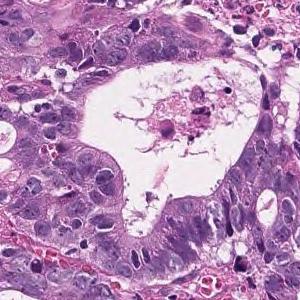
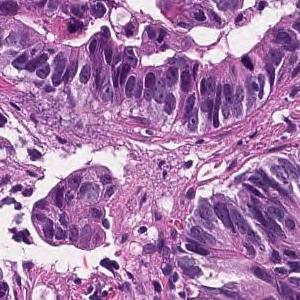
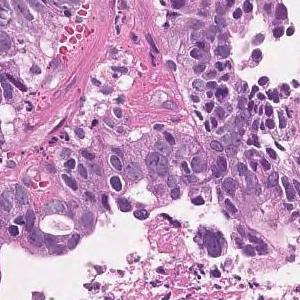
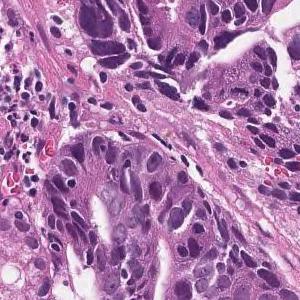
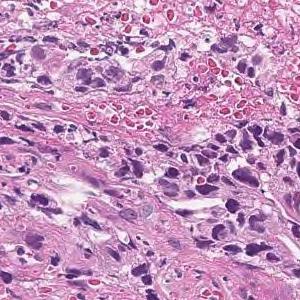
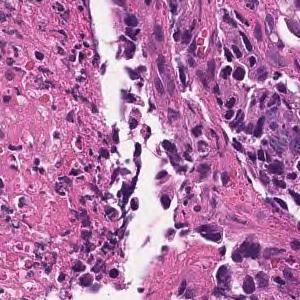
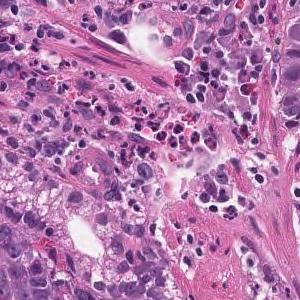
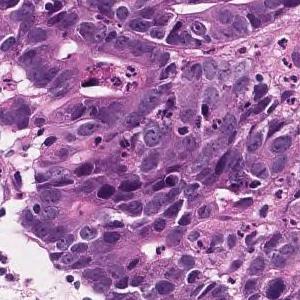
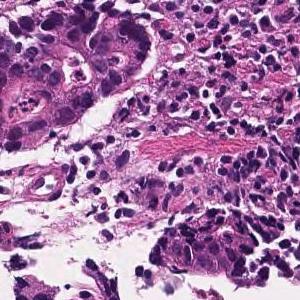
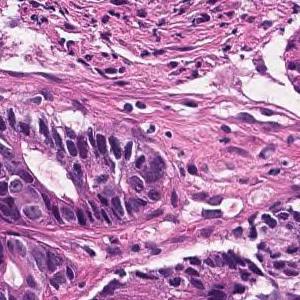
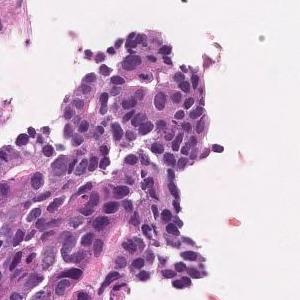
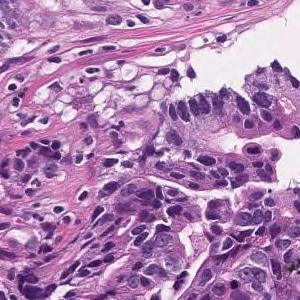
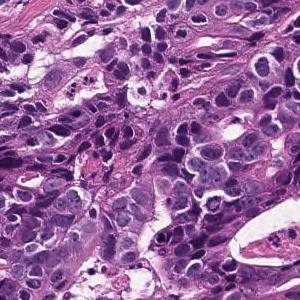
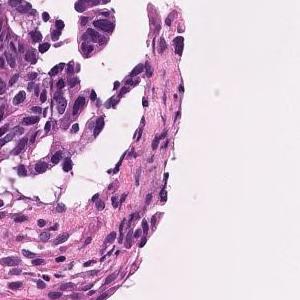
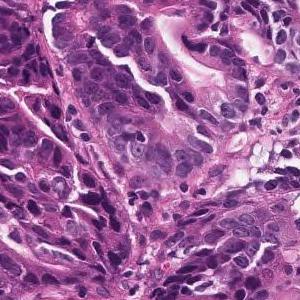
15 tiles cut from one stomach biopsy slide, each 300 × 300 pixels, hematoxylin and eosin stain, 20× magnification.
Pathology report for the biopsy slide these tiles were cut from. The report and the diagnosis cover the entire slide, so not every feature they name need be visible here, and some tissue shown may not be tumor.
In the superficial epithelium, tumor tissue that invades by forming medium-sized to small, irregular ducts is observed. moderately differentiated tubular adenocarcinoma.
